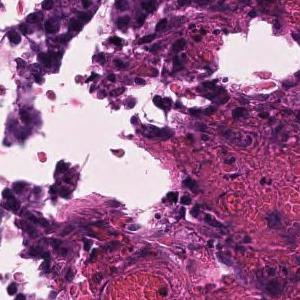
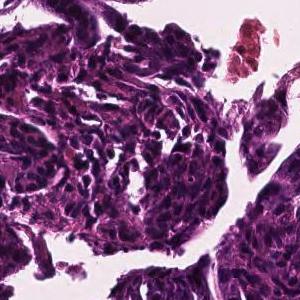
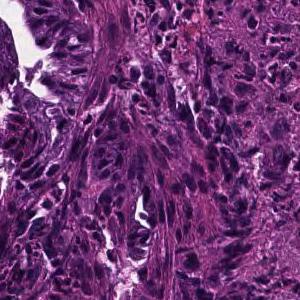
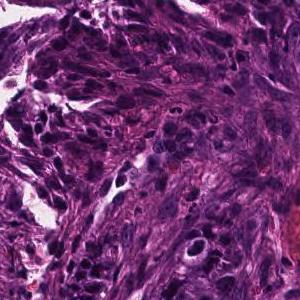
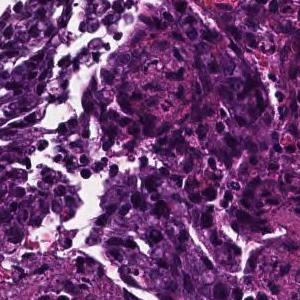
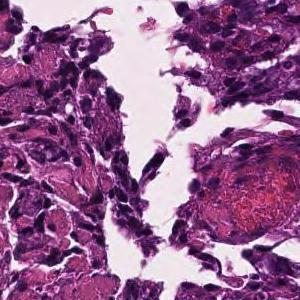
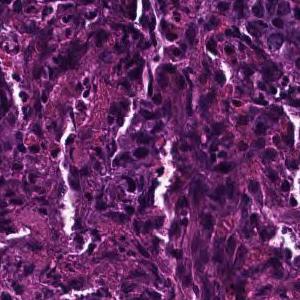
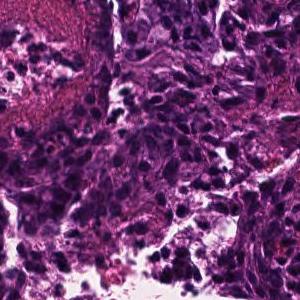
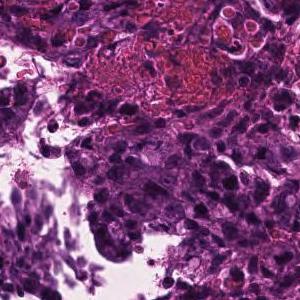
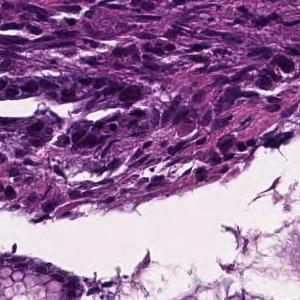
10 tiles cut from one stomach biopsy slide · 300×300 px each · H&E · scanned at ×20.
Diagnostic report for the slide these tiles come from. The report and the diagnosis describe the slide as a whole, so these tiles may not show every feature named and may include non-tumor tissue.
Tumor tissue consisting of medium-sized, cord-like or irregular glandular infiltration is observed in the superficial epithelium. Poorly differentiated adenocarcinoma, non-solid type or moderately differentiated tubular adenocarcinoma
Classified as moderately to poorly differentiated adenocarcinoma.
The non-solid type named here is a Japanese Classification of Gastric Carcinoma category.
